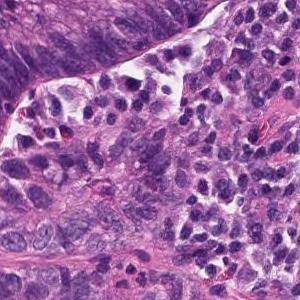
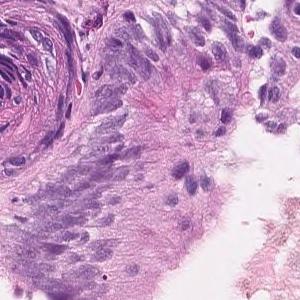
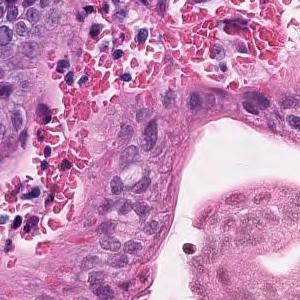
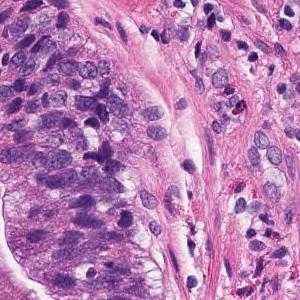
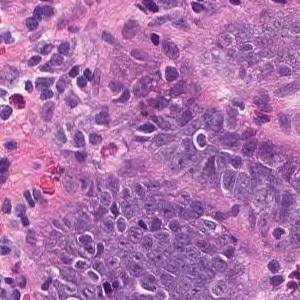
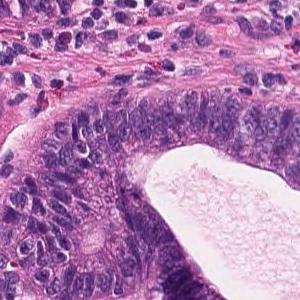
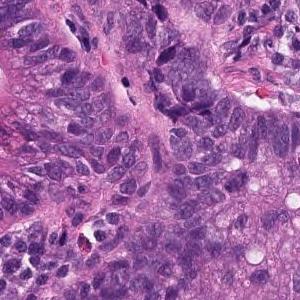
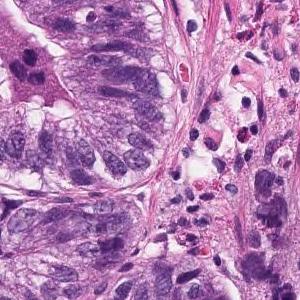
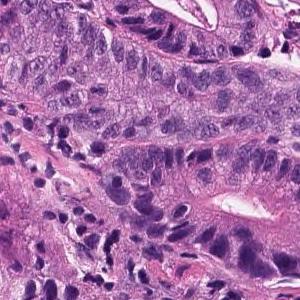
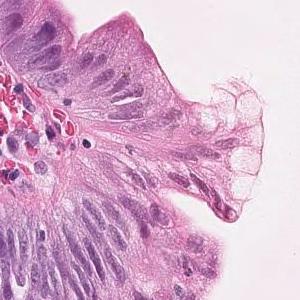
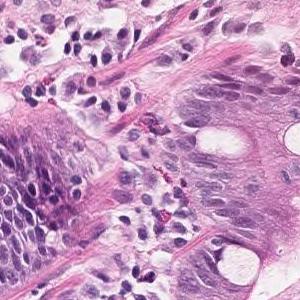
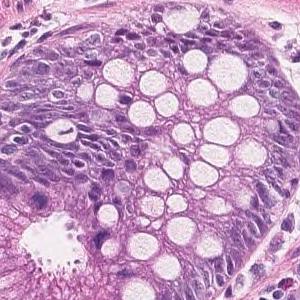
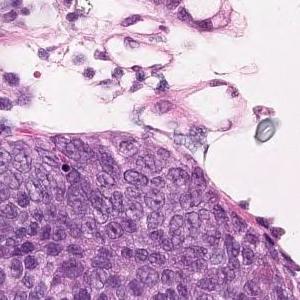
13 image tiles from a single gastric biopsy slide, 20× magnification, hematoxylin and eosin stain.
Pathology report for the slide these tiles were cut from. The report describes the whole slide, diagnosis included: not every finding it names need appear in these tiles, which may also show non-tumor tissue.
Tumor cells are large, highly columnar, large club-shaped nuclei, and are associated with chromatin aggregation. Papillary adenocarcinoma.
